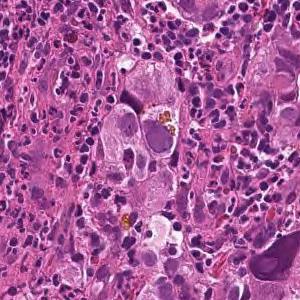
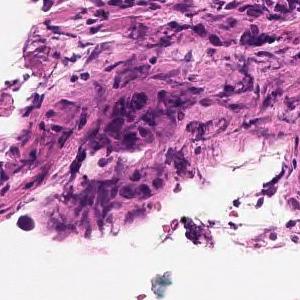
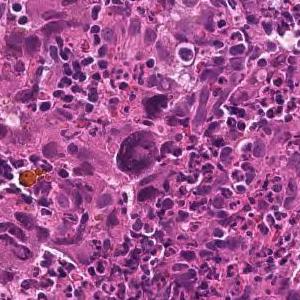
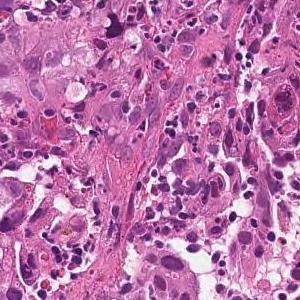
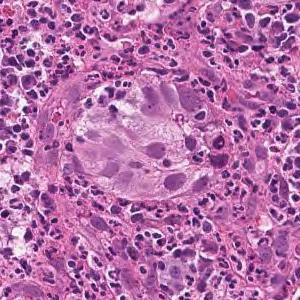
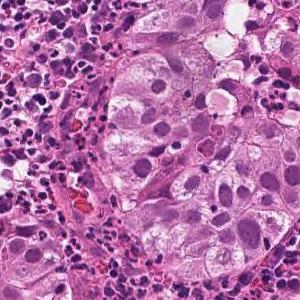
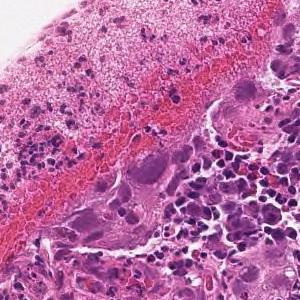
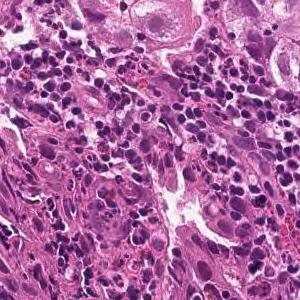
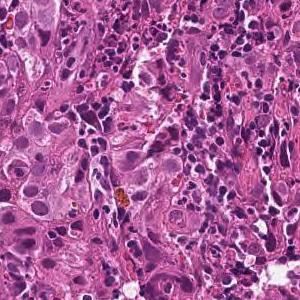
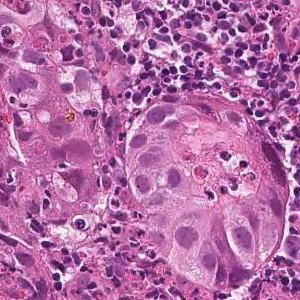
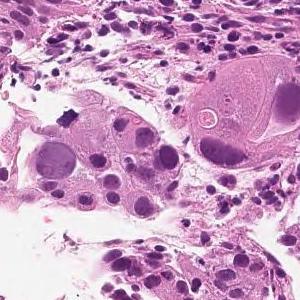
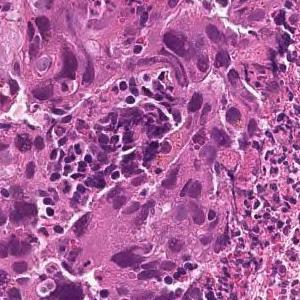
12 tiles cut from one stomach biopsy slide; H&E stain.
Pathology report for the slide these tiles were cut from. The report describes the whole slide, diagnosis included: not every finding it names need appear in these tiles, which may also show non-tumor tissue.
Large sheet-like or diffusely infiltrating tumor tissue is found in the superficial epithelium. Poorly differentiated adenocarcinoma, solid-type
Histologic type: Poorly differentiated adenocarcinoma, solid type. This name comes from the Japanese Classification of Gastric Carcinoma; the WHO 2019 classification calls it tubular adenocarcinoma, poorly differentiated.
